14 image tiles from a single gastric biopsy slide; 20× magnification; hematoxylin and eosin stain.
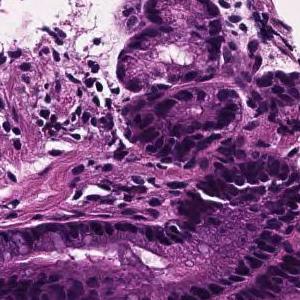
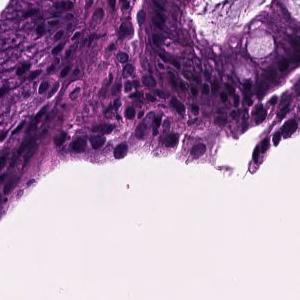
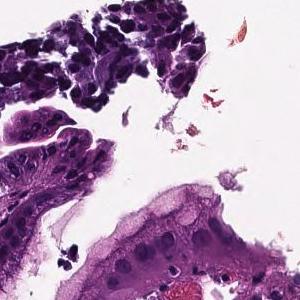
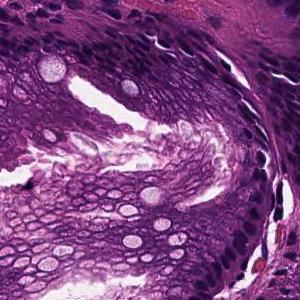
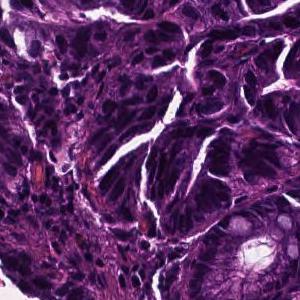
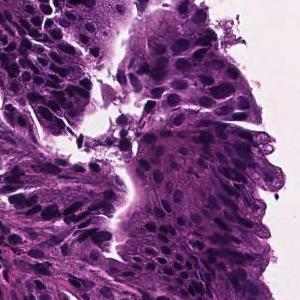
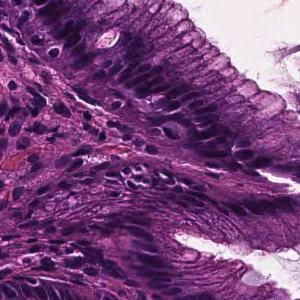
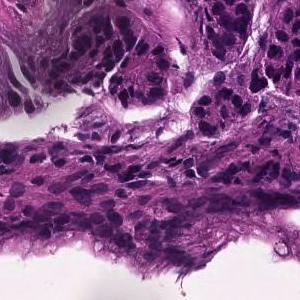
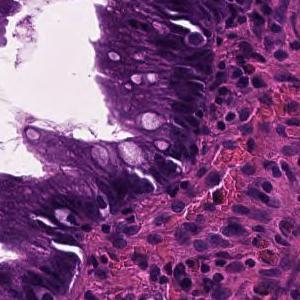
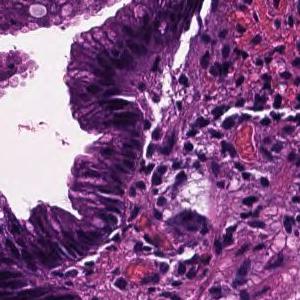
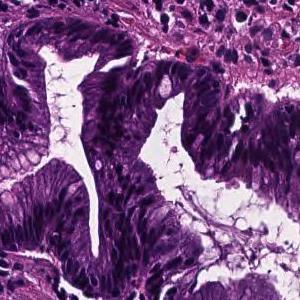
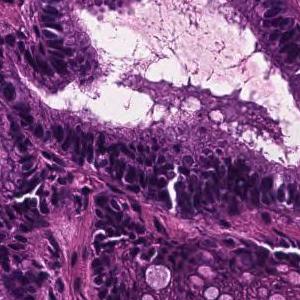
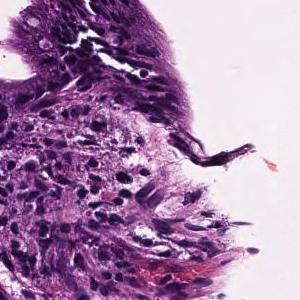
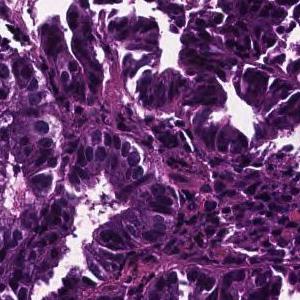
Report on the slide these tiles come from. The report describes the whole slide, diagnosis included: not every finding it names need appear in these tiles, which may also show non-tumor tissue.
In the superficial epithelium, tumor tissue that invades by forming medium-sized to small, irregular ducts is observed. Well differentiated tubular adenocarcinoma.
